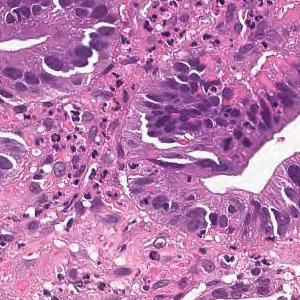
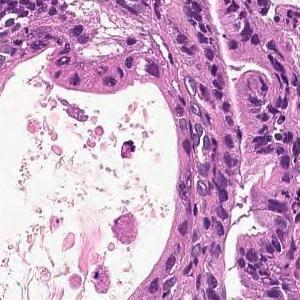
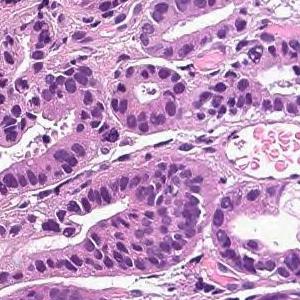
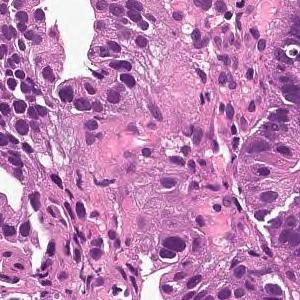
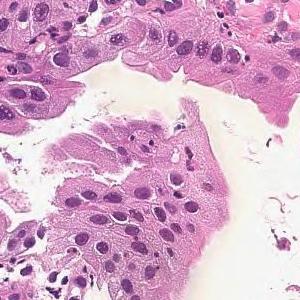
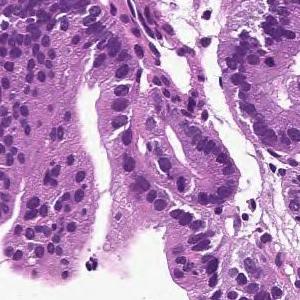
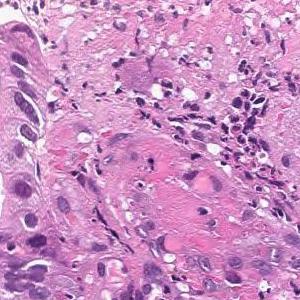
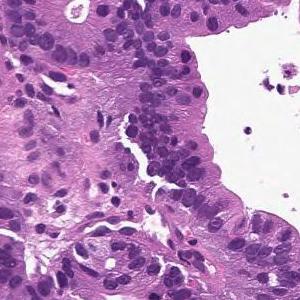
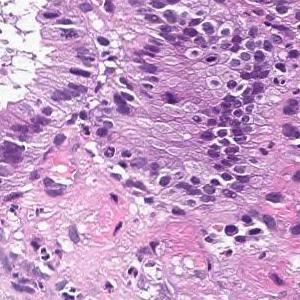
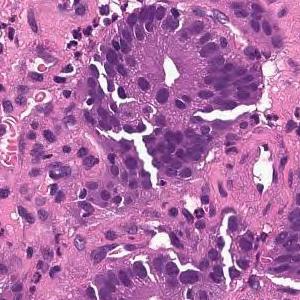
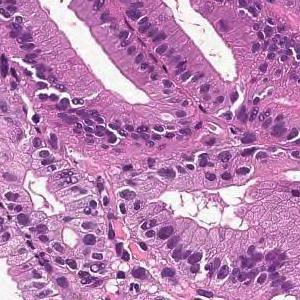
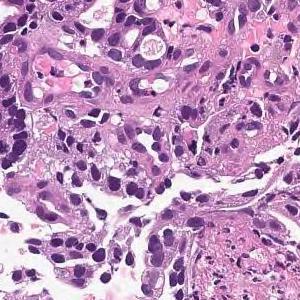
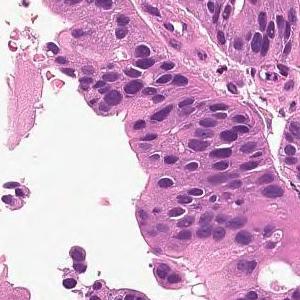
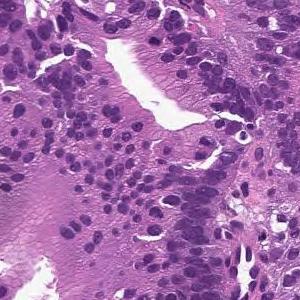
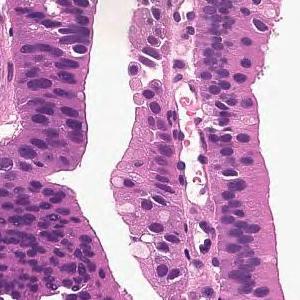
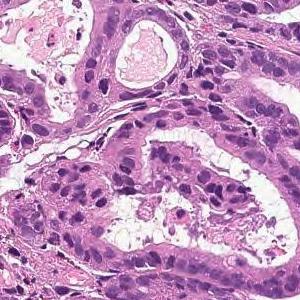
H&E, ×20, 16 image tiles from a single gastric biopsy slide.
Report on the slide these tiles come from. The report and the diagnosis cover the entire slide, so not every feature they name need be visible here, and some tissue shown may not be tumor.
From the superficial epithelium to the muscularis mucosae, tumor tissue consisting of medium-sized and irregular glandular ducts infiltrating is observed. Well differentiated tubular adenocarcinoma
